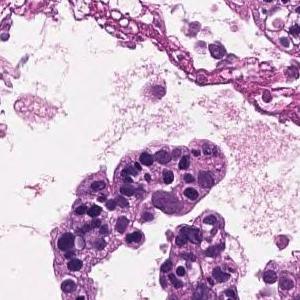
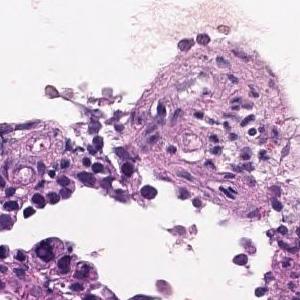
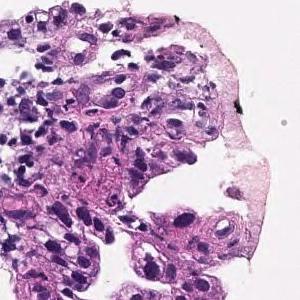
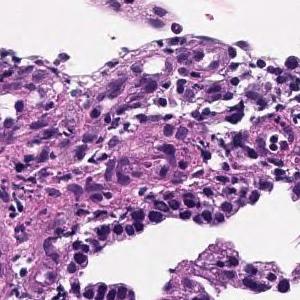
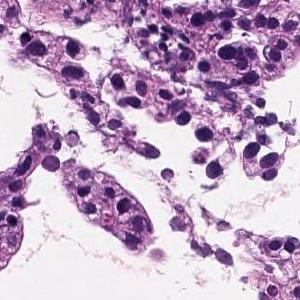
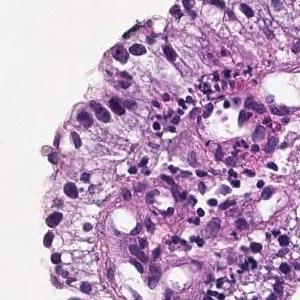
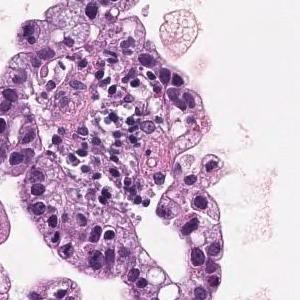
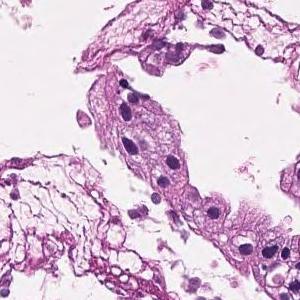
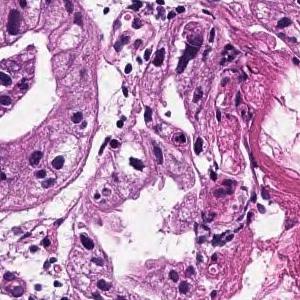
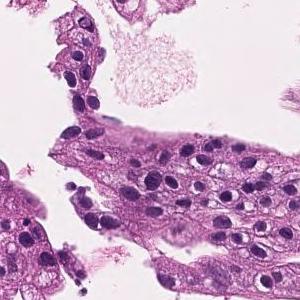
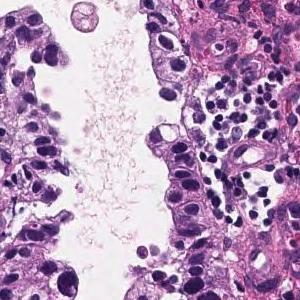
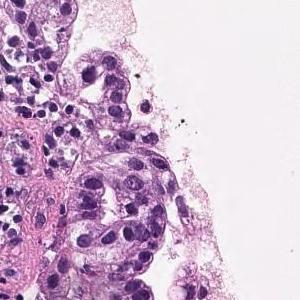
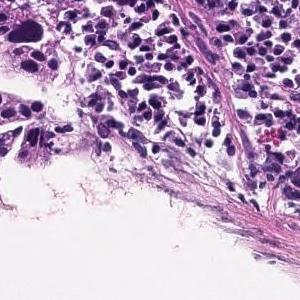
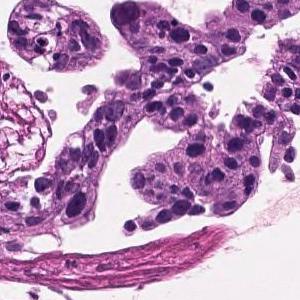
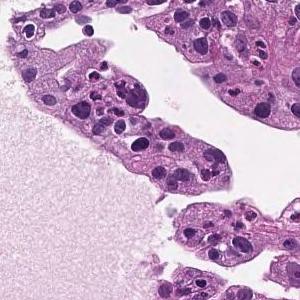
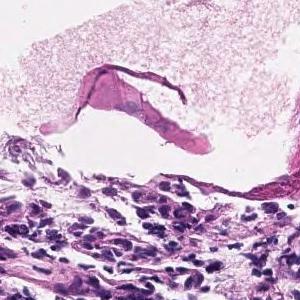
20× magnification; hematoxylin and eosin stain; 16 patches cut from one gastric biopsy slide.
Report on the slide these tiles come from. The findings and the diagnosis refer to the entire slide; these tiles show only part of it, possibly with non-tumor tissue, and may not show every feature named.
On the superficial epithelium, tumor tissue that infiltrates by forming medium-sized papillary or small irregular ducts is observed. Papillary adenocarcinoma
